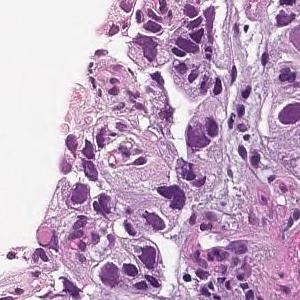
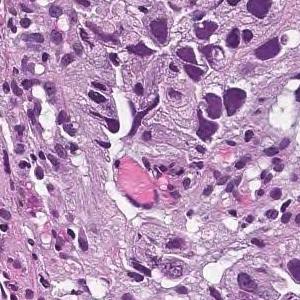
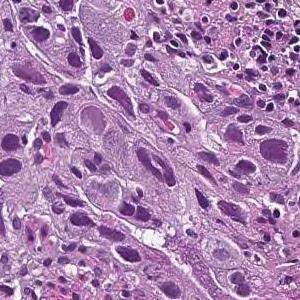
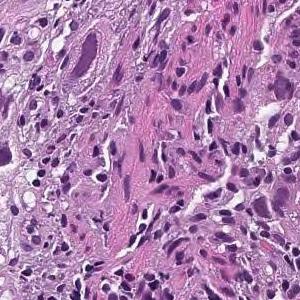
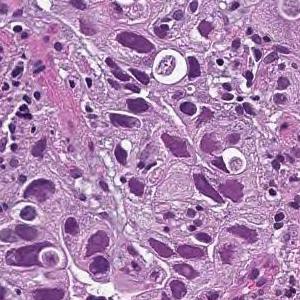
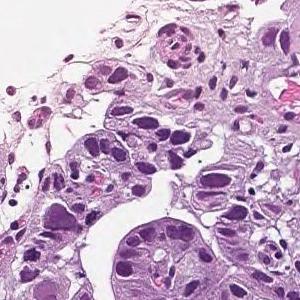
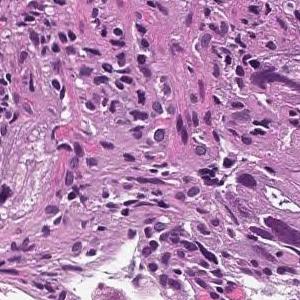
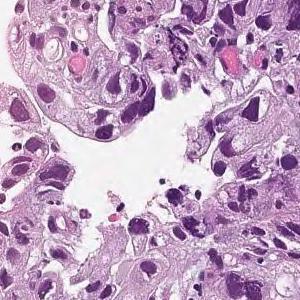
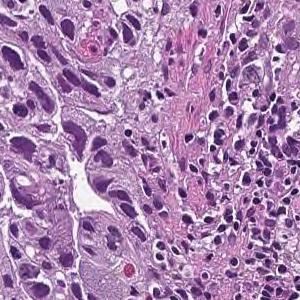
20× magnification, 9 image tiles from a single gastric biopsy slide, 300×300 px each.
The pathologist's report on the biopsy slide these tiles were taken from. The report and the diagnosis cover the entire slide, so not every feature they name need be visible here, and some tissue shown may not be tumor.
Tumor tissue consisting of cord-like or small irregular glandular ducts fused is observed infiltrating in the superficial epithelium. Poorly differentiated adenocarcinoma, non-solid type
The non-solid type named here is a Japanese Classification of Gastric Carcinoma category.
